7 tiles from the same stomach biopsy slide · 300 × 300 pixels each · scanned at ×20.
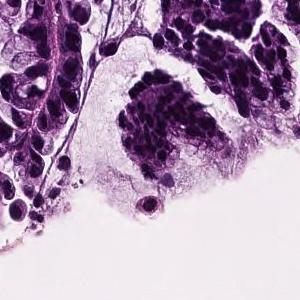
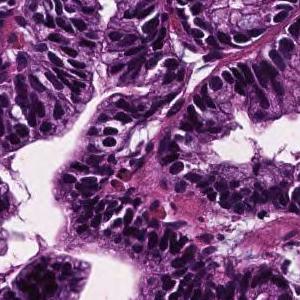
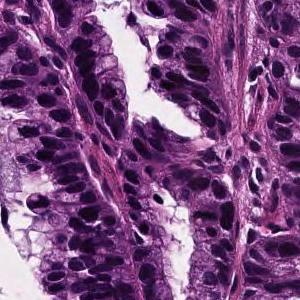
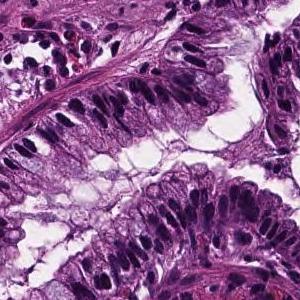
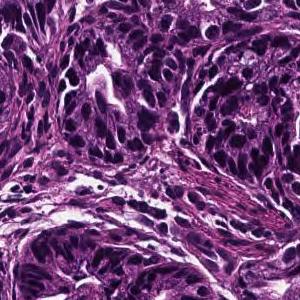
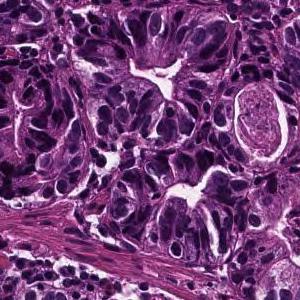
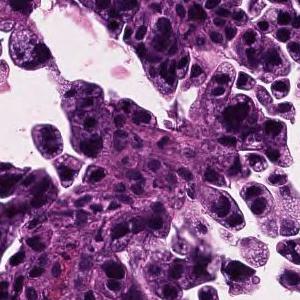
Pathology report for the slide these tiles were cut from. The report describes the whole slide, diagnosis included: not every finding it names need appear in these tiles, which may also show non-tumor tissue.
In the superficial epithelium, tumor tissue that invades by forming medium-sized to small, irregular ducts is observed. Well differentiated tubular adenocarcinoma.
